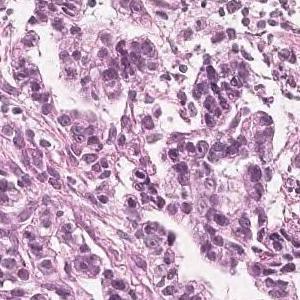
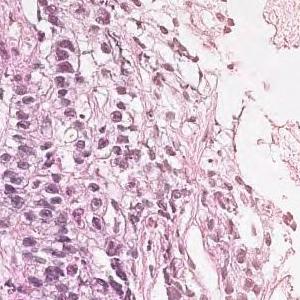
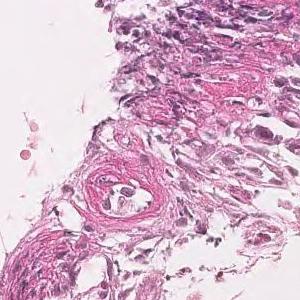
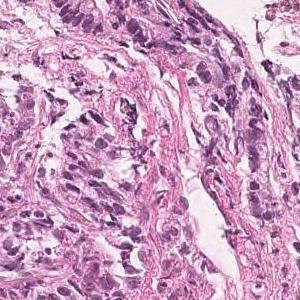
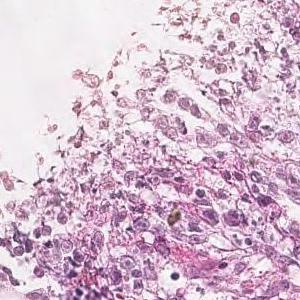
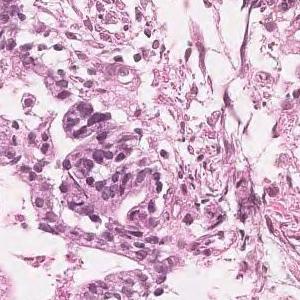
H&E; ×20; 6 patches cut from one gastric biopsy slide; 300×300 px each.
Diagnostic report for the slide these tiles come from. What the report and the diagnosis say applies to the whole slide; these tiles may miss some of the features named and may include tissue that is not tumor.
Tumor tissue in which highly columnar atypical epithelial cells with nuclear enlargement and increased nuclear chromatin show papillary to papillary ductal structure and proliferate is observed. Papillary adenocarcinoma.
